11 tiles cut from one stomach biopsy slide; hematoxylin and eosin stain.
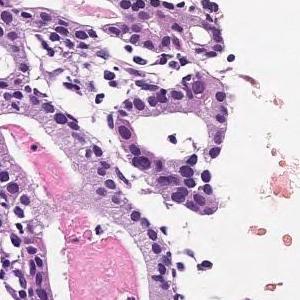
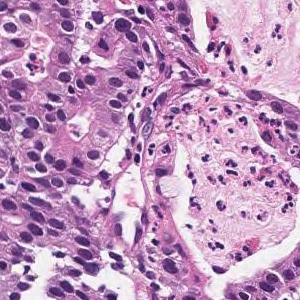
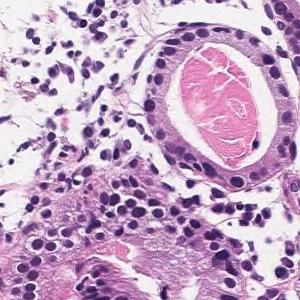
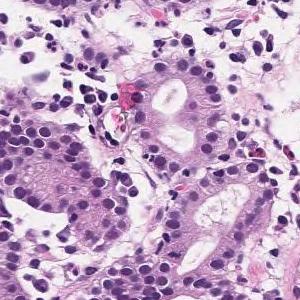
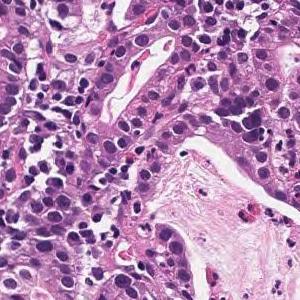
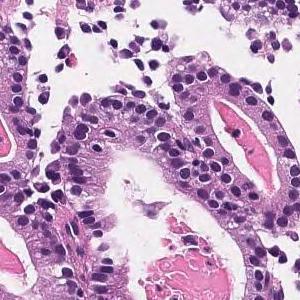
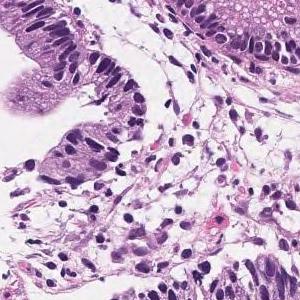
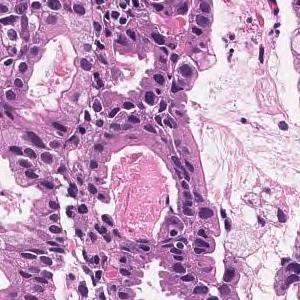
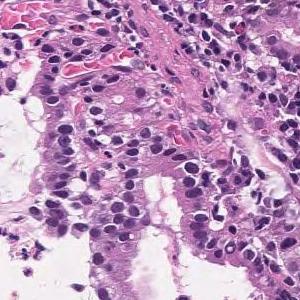
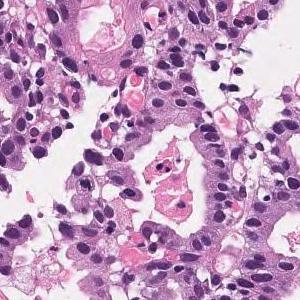
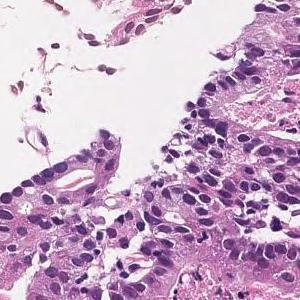
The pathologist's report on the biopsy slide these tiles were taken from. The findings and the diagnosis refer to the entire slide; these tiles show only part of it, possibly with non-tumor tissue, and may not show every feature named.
Medium to small, irregular glandular ducts are formed in the superficial epithelium, and in some cases, the glandular ducts are fused to show solid alveolar lesions and infiltrating tumor tissue is observed. Moderately to poorly differentiated adenocarcinoma.
